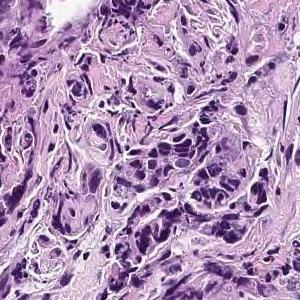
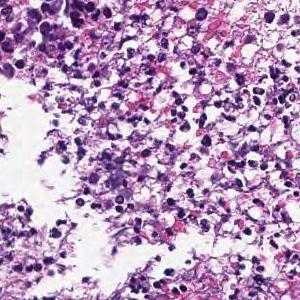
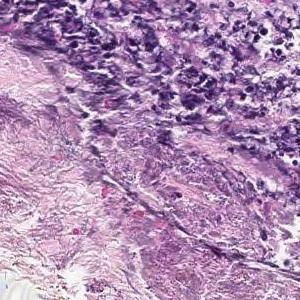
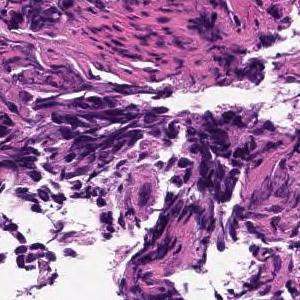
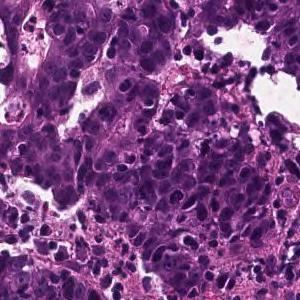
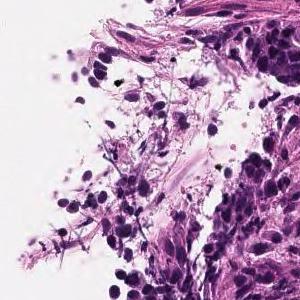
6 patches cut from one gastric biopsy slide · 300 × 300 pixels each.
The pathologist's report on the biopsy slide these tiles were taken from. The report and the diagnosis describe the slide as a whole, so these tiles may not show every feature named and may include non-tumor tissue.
In the superficial epithelium, tumor tissue that invades by forming medium-sized to small, irregular ducts is observed. moderately differentiated tubular adenocarcinoma.
